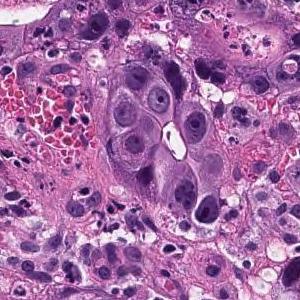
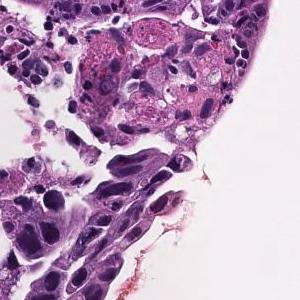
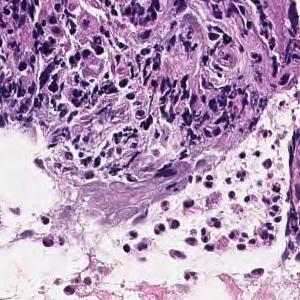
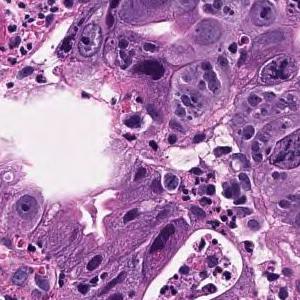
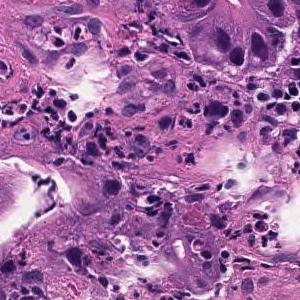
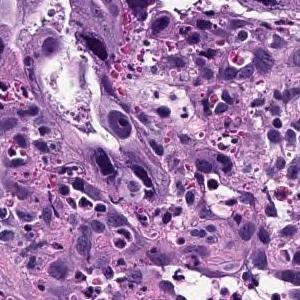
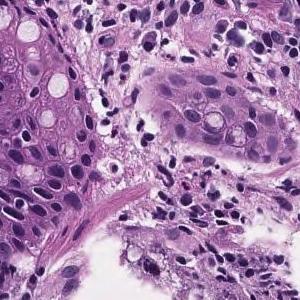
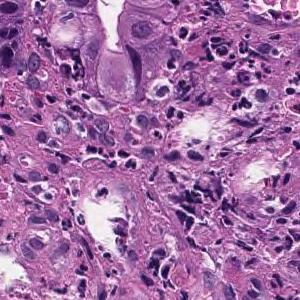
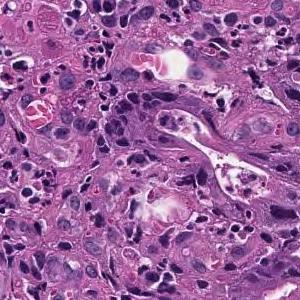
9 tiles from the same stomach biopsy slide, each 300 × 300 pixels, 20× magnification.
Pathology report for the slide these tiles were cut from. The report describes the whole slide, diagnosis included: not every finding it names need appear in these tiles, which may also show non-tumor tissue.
In the superficial epithelium, medium to small irregular gland ducts are formed, and in some cases, the ducts are fused to show solid alveolar lesions and infiltrating tumor tissue is observed. Moderately to poorly differentiated adenocarcinoma
